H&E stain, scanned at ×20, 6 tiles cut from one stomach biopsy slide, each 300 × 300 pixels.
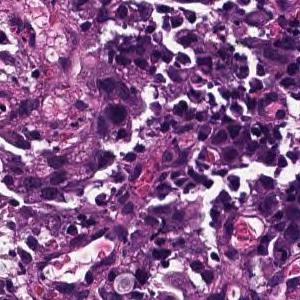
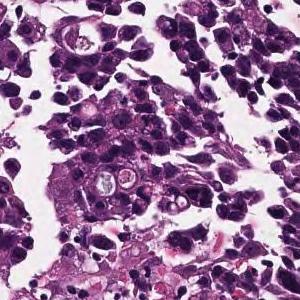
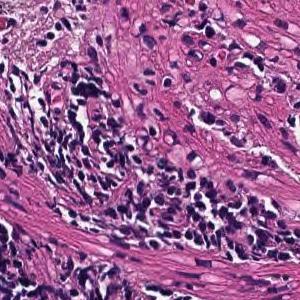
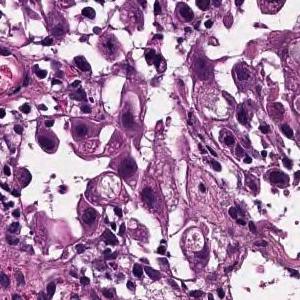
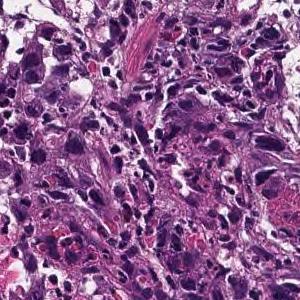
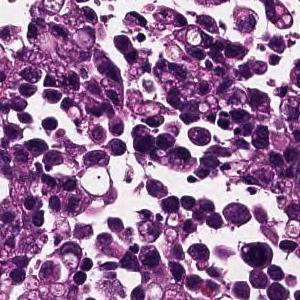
Report on the slide these tiles come from. What the report and the diagnosis say applies to the whole slide; these tiles may miss some of the features named and may include tissue that is not tumor.
The superficial epithelium shows a large sheet-like shape, and some tumor tissue infiltrates with small irregular ducts. Poorly differentiated adenocarcinoma, solid-type
Histological subtype: Poorly differentiated adenocarcinoma, solid type. This name comes from the Japanese Classification of Gastric Carcinoma; the WHO 2019 classification calls it tubular adenocarcinoma, poorly differentiated.
